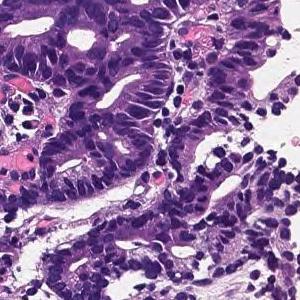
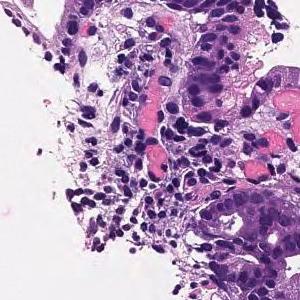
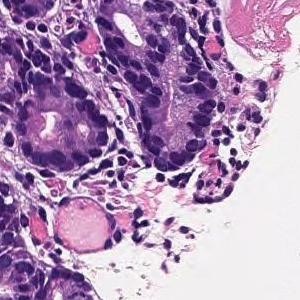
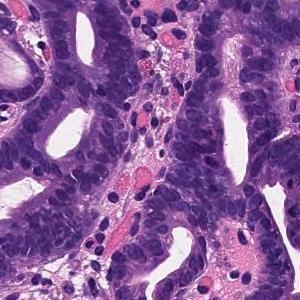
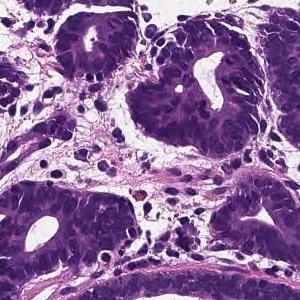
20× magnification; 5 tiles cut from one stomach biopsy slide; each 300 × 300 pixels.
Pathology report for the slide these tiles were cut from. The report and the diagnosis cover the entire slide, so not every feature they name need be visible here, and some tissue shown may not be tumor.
On the superficial epithelium, tumor tissue is found in which medium-sized irregular gland ducts fuse with each other and infiltrate. moderately differentiated tubular adenocarcinoma
